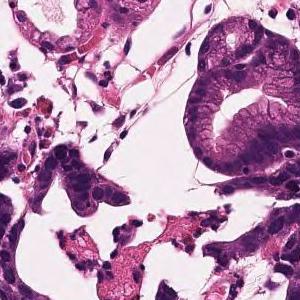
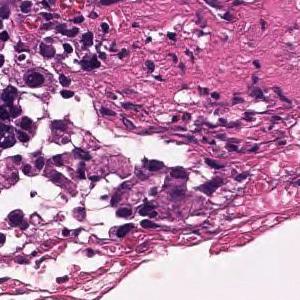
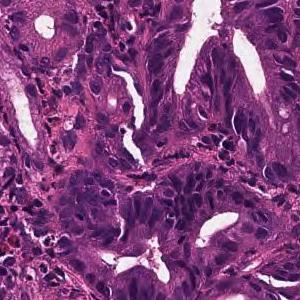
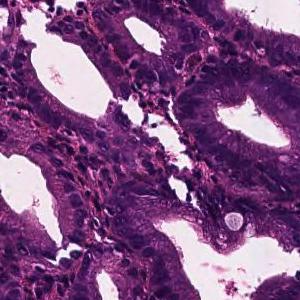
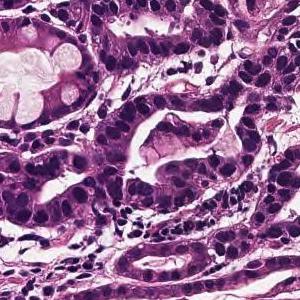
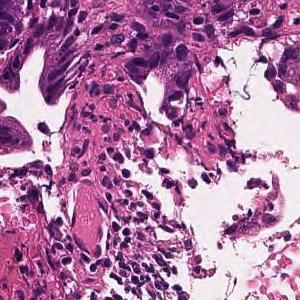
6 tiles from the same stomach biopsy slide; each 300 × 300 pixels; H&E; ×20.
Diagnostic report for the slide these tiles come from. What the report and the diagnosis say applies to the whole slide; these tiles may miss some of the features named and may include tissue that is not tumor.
On the superficial epithelium, tumor tissue consisting of medium-sized and irregular glandular ducts partially fused and infiltrated is observed. Well to moderately differentiated tubular adenocarcinoma (well differentiated tubular adenocarcinoma-moderately differentiated tubular adenocarcinoma)
Histological subtype: Well to moderately differentiated tubular adenocarcinoma.
